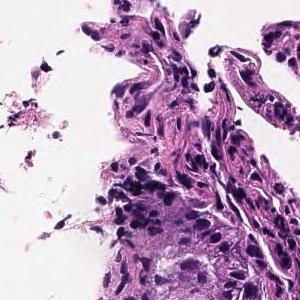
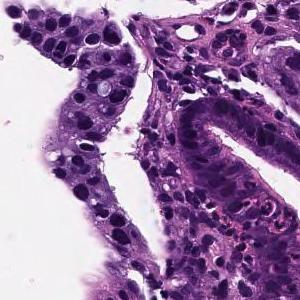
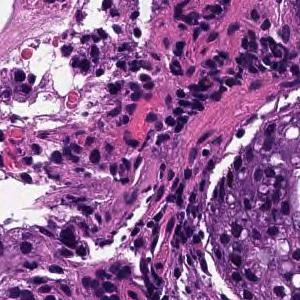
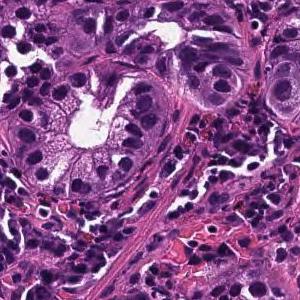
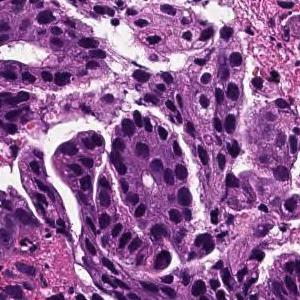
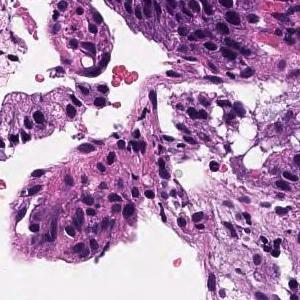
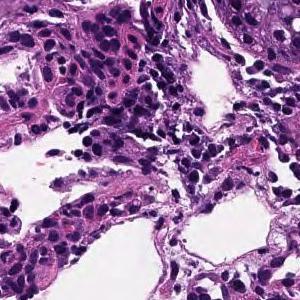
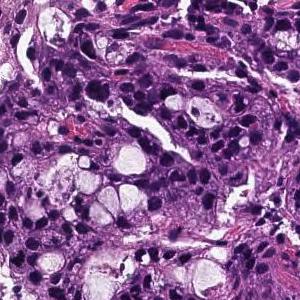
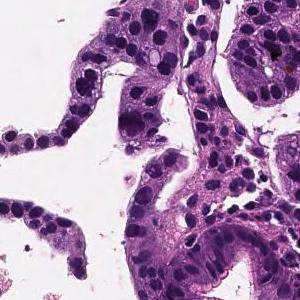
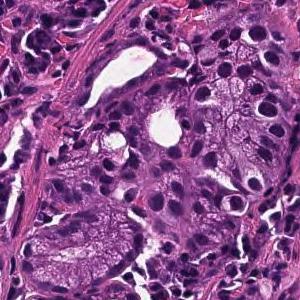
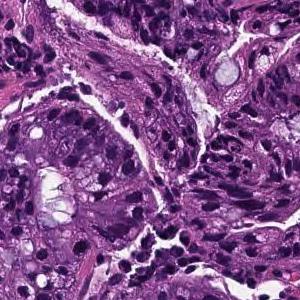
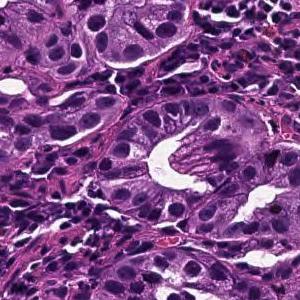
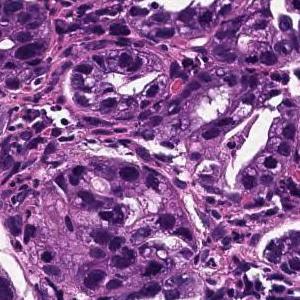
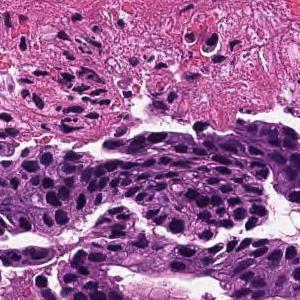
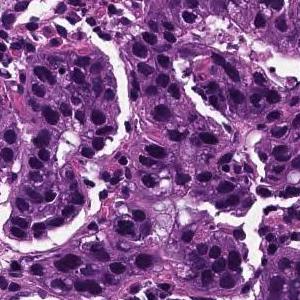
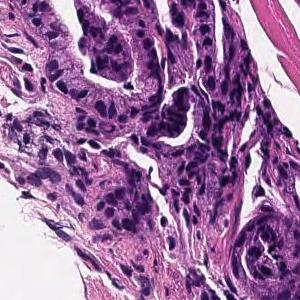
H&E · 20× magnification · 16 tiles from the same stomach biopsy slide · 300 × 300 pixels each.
The pathologist's report on the biopsy slide these tiles were taken from. The report describes the whole slide, diagnosis included: not every finding it names need appear in these tiles, which may also show non-tumor tissue.
In the superficial epithelium, tumor tissue that invades by forming medium-sized to small, irregular ducts is observed. moderately differentiated tubular adenocarcinoma.
